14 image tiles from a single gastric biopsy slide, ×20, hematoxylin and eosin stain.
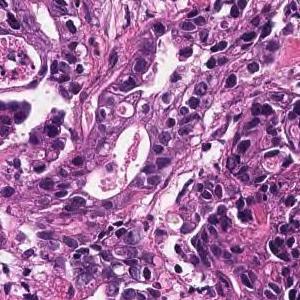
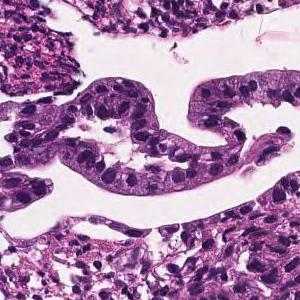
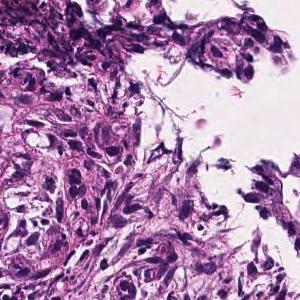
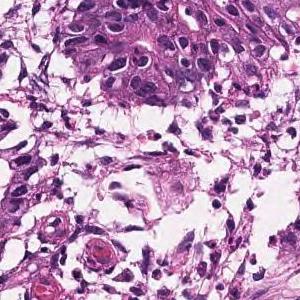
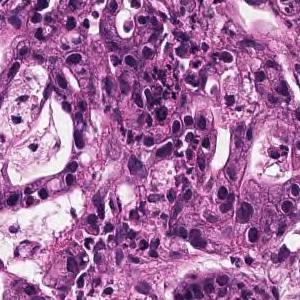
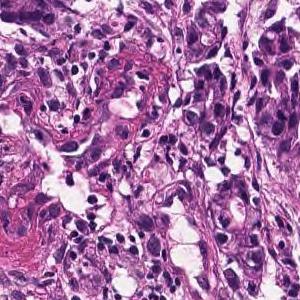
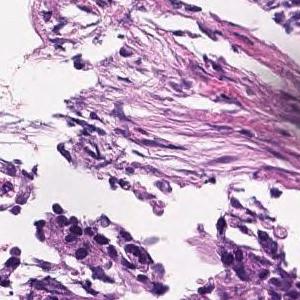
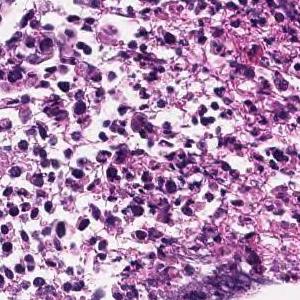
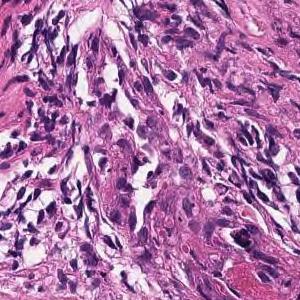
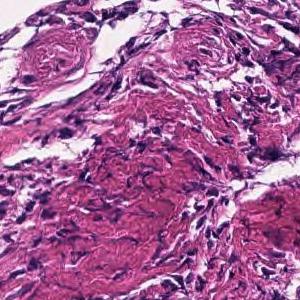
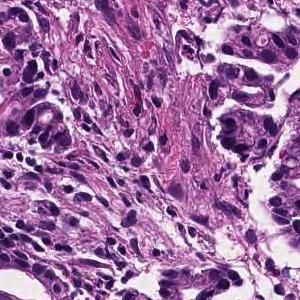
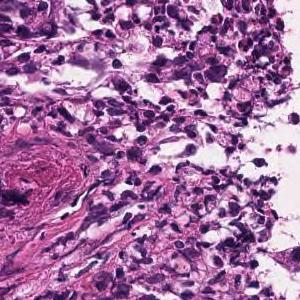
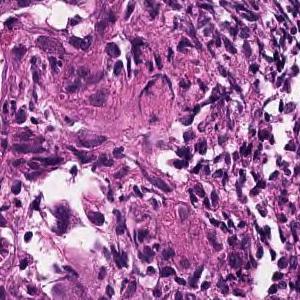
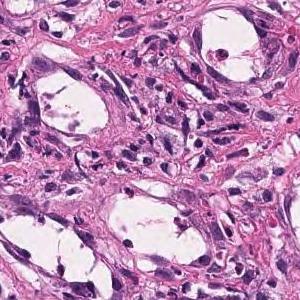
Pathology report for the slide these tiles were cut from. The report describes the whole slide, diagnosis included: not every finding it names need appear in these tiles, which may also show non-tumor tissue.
In the superficial epithelium, medium to small, irregular gland ducts are formed, and in some cases, the gland ducts are fused to show solid alveolar lesions and infiltrating tumor tissue is observed. Moderately to poorly differentiated adenocarcinoma.
